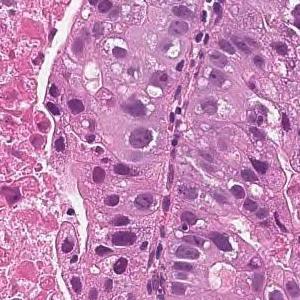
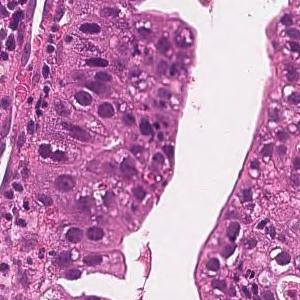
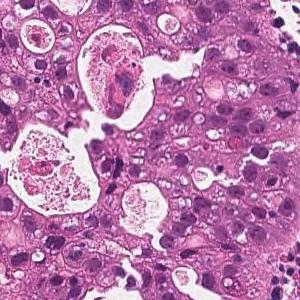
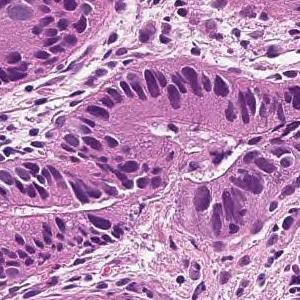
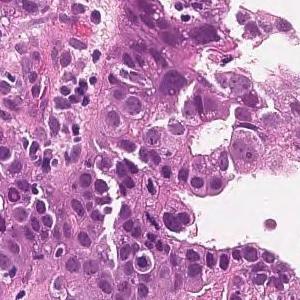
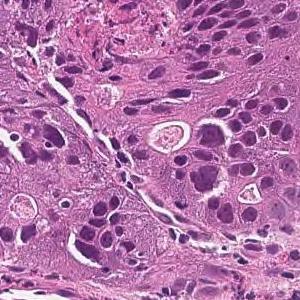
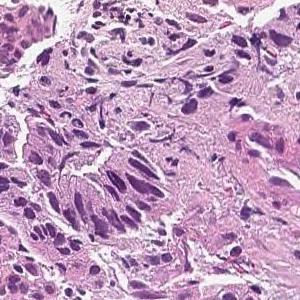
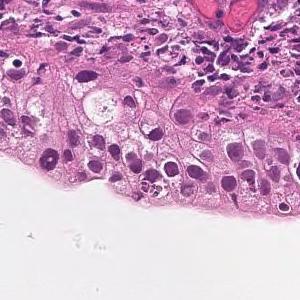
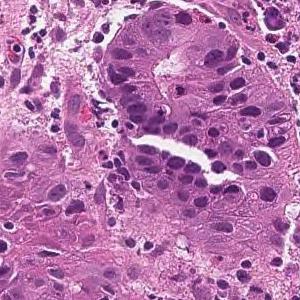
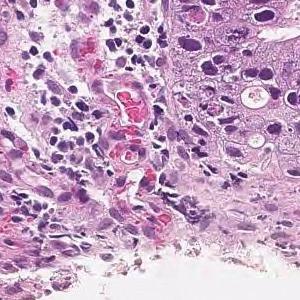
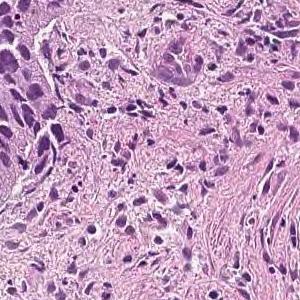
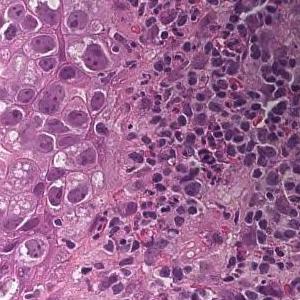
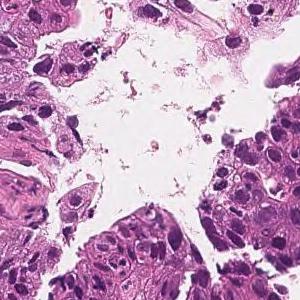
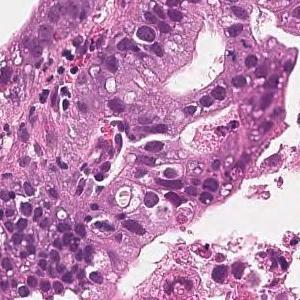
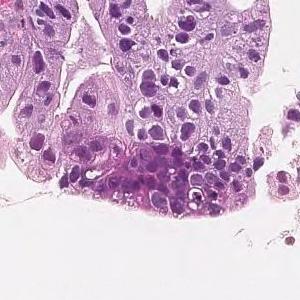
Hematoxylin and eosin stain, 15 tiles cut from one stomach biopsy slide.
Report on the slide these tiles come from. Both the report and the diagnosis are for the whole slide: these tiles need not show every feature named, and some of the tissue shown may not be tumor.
In the superficial epithelium, tumor tissue that invades by forming medium-sized to small, irregular ducts is observed. moderately differentiated tubular adenocarcinoma.
